Hematoxylin and eosin stain · ×20 · 4 patches cut from one gastric biopsy slide.
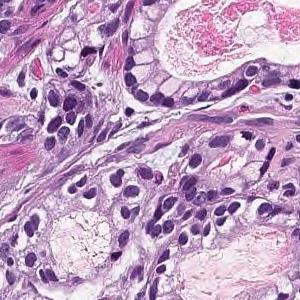
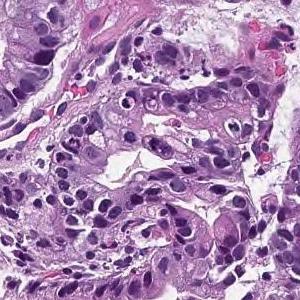
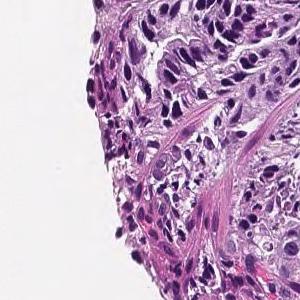
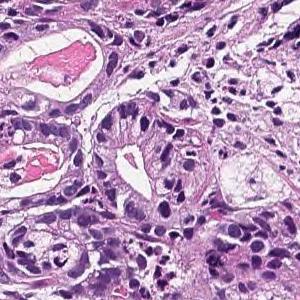
Diagnostic report for the slide these tiles come from. Both the report and the diagnosis are for the whole slide: these tiles need not show every feature named, and some of the tissue shown may not be tumor.
From the superficial epithelium to the muscularis mucosae, tumor tissue consisting of medium-sized and irregular glandular ducts infiltrating is observed. Well differentiated tubular adenocarcinoma
